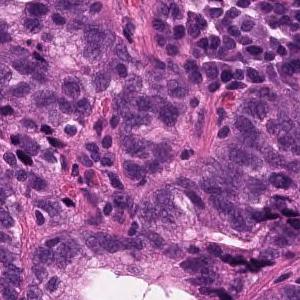
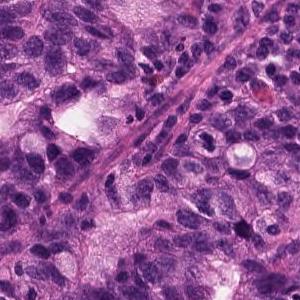
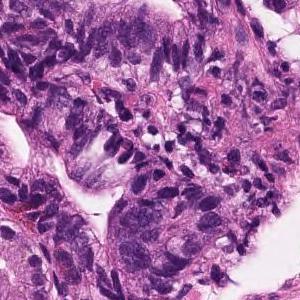
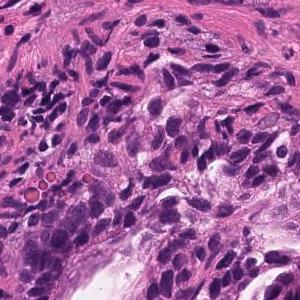
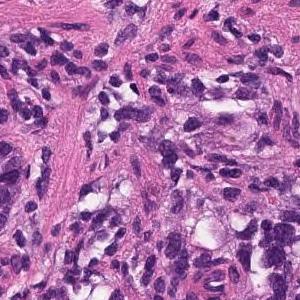
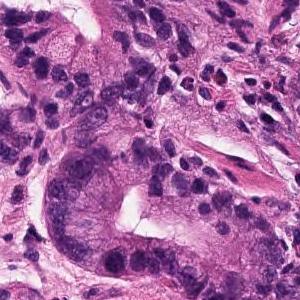
H&E stain, ×20, 6 image tiles from a single gastric biopsy slide, 300×300 px each.
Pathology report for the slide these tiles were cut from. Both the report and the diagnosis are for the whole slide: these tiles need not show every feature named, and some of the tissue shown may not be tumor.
In the superficial epithelium, tumor tissue that invades by forming medium-sized to small, irregular ducts is observed. Moderately differentiated adenocarcinoma.
Classified as moderately differentiated tubular adenocarcinoma.
